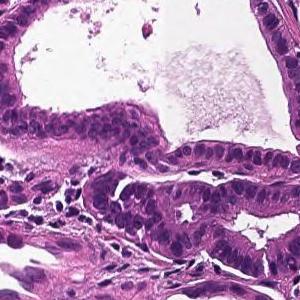
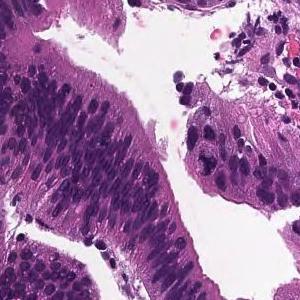
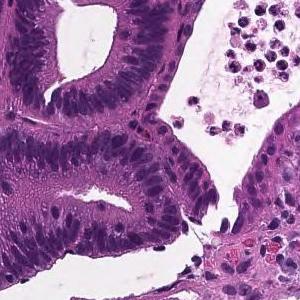
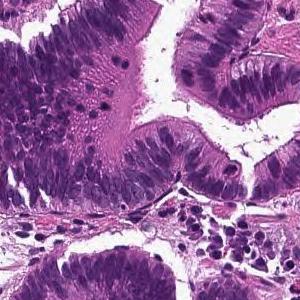
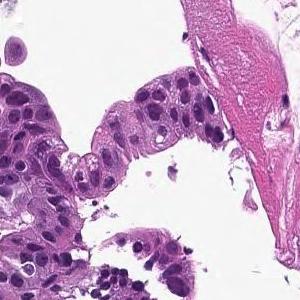
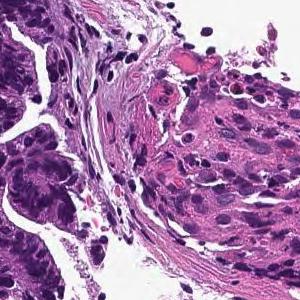
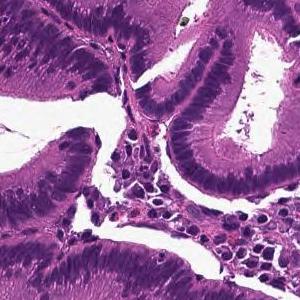
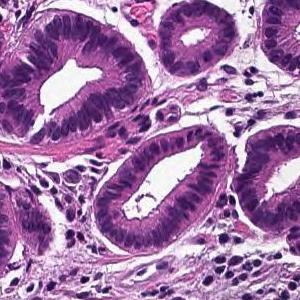
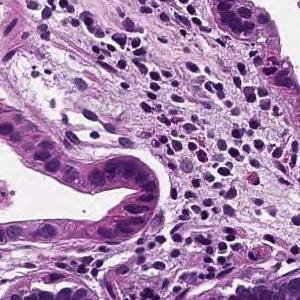
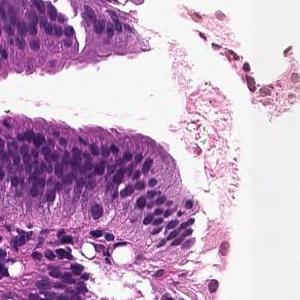
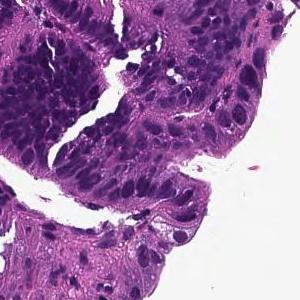
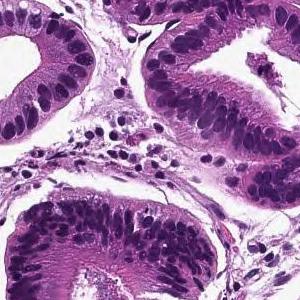
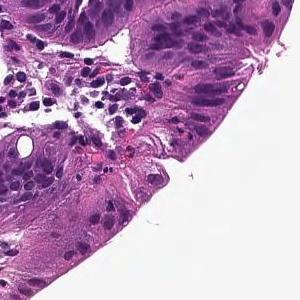
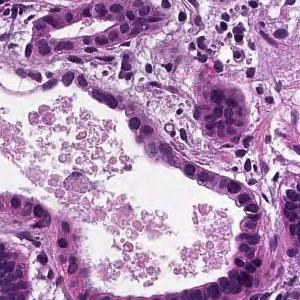
14 patches cut from one gastric biopsy slide, each 300 × 300 pixels, ×20, H&E.
Diagnostic report for the slide these tiles come from. The report describes the whole slide, diagnosis included: not every finding it names need appear in these tiles, which may also show non-tumor tissue.
From the superficial epithelium to the muscularis mucosae, tumor tissue consisting of medium-sized and irregular glandular ducts infiltrating is observed. Well differentiated tubular adenocarcinoma
